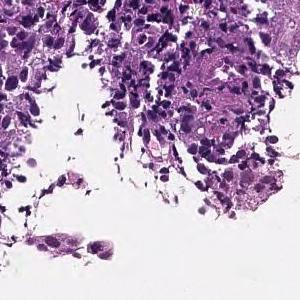
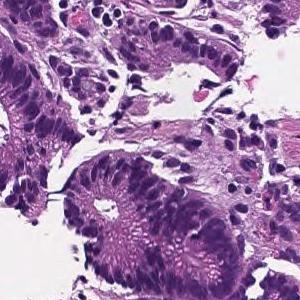
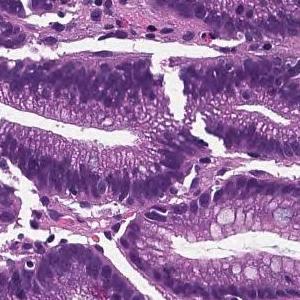
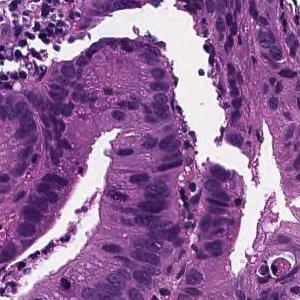
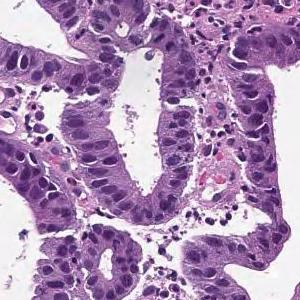
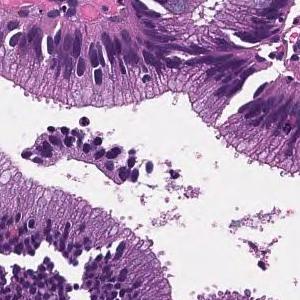
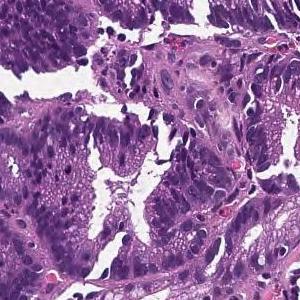
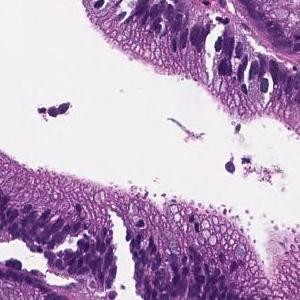
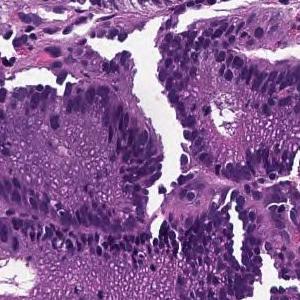
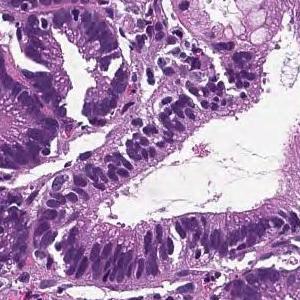
10 patches cut from one gastric biopsy slide; 300 × 300 pixels each; H&E; ×20.
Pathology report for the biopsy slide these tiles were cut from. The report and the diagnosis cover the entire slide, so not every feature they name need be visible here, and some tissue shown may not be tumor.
From the superficial epithelium to the muscularis mucosae, tumor tissue consisting of medium-sized and irregular glandular ducts infiltrating is observed. Well differentiated tubular adenocarcinoma
